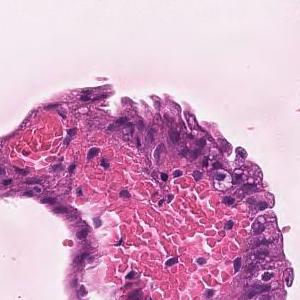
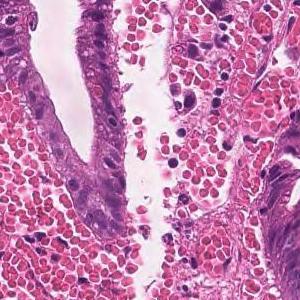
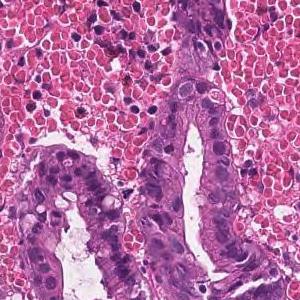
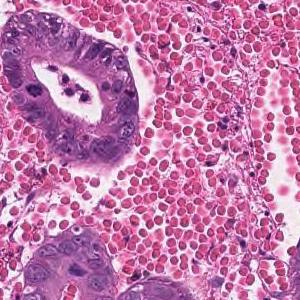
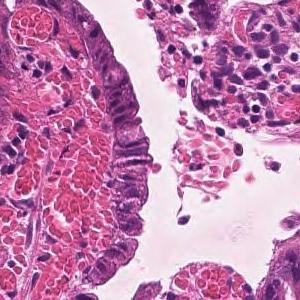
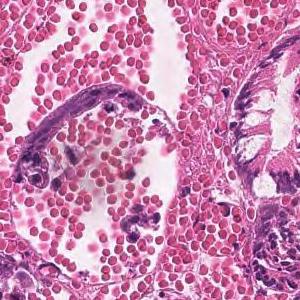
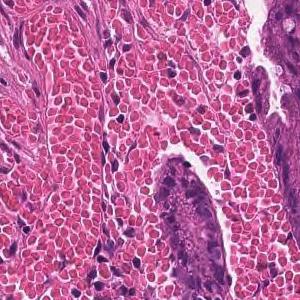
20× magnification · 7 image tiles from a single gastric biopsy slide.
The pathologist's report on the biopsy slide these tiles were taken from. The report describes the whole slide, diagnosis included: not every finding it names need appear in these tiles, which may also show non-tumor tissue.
Well to moderately differentiated tubular adenocarcinoma showing dense growth with irregular fusion of small irregular ducts (well differentiated tubular adenocarcinoma, moderately differentiated tubular adenocarcinoma)
Classified as well to moderately differentiated tubular adenocarcinoma.
